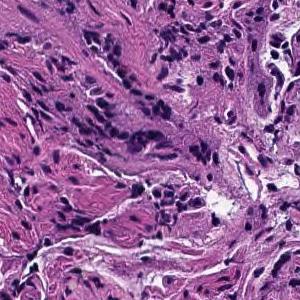
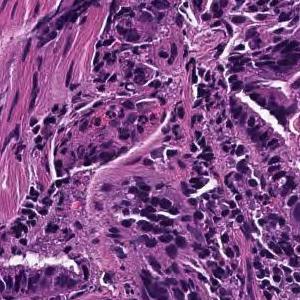
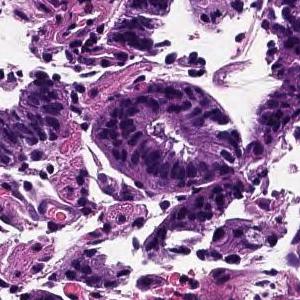
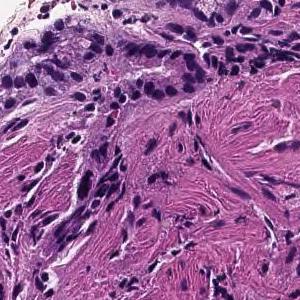
20× magnification · H&E · 4 tiles from the same stomach biopsy slide · each 300 × 300 pixels.
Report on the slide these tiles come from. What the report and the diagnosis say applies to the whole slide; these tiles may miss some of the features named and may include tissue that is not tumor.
From the superficial epithelium to the muscularis mucosae, tumor tissue consisting of medium-sized and irregular glandular ducts infiltrating is observed. Well differentiated tubular adenocarcinoma
